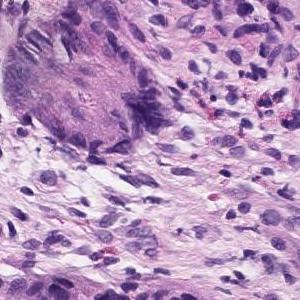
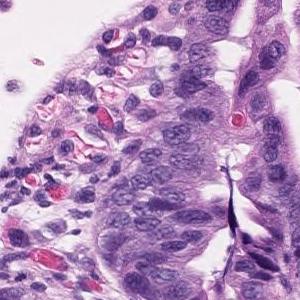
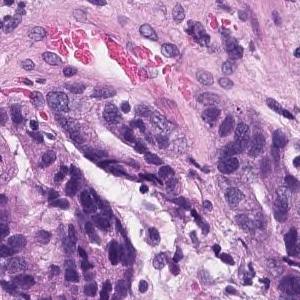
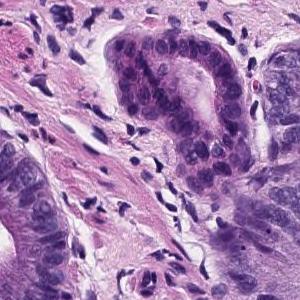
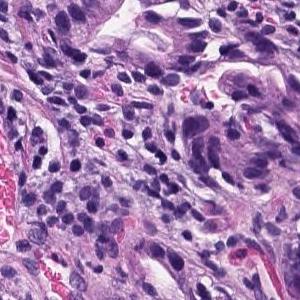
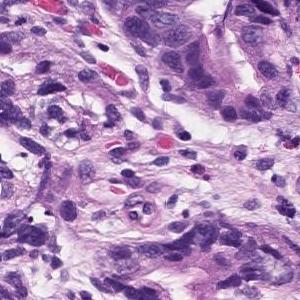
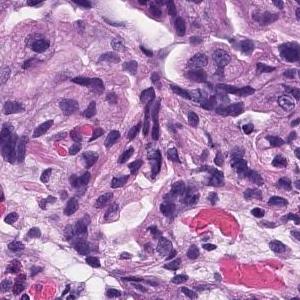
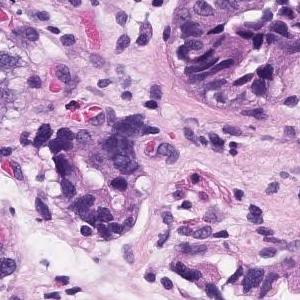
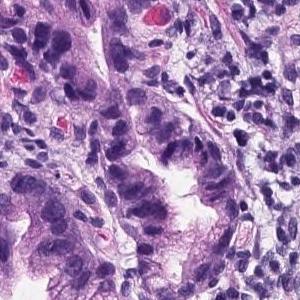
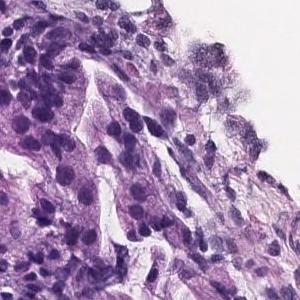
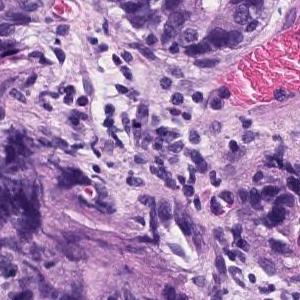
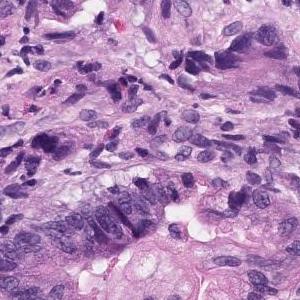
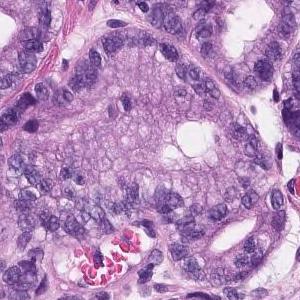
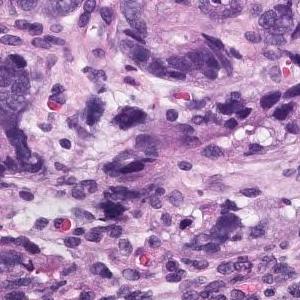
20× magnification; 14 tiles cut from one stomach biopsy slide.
The pathologist's report on the biopsy slide these tiles were taken from. The report describes the whole slide, diagnosis included: not every finding it names need appear in these tiles, which may also show non-tumor tissue.
In the superficial epithelium, tumor tissue that invades by forming medium-sized to small, irregular ducts is observed. Moderately differentiated adenocarcinoma.
Histologic type: Moderately differentiated tubular adenocarcinoma.
